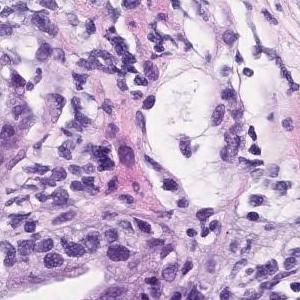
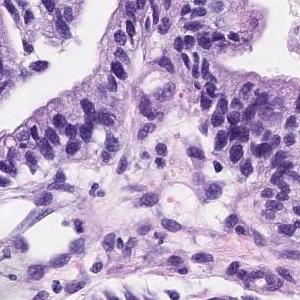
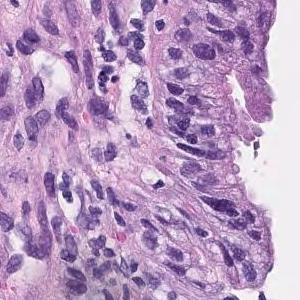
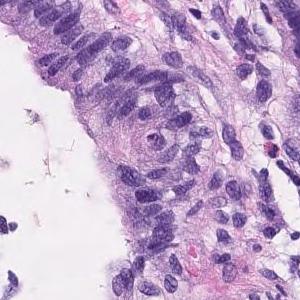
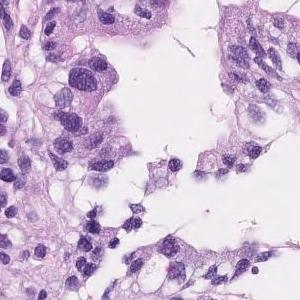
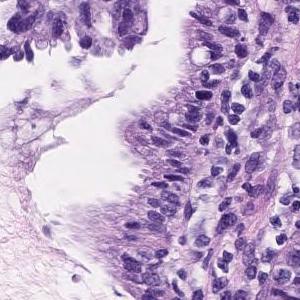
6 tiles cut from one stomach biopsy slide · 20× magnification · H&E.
Pathology report for the slide these tiles were cut from. The report and the diagnosis cover the entire slide, so not every feature they name need be visible here, and some tissue shown may not be tumor.
Tumor cells are large, highly columnar, large club-shaped nuclei, and are associated with chromatin aggregation. Papillary adenocarcinoma.
